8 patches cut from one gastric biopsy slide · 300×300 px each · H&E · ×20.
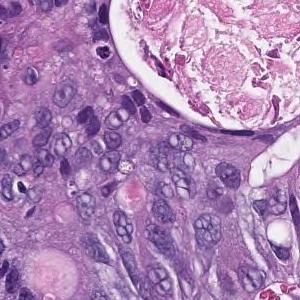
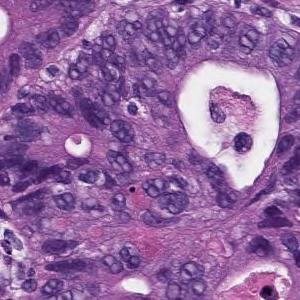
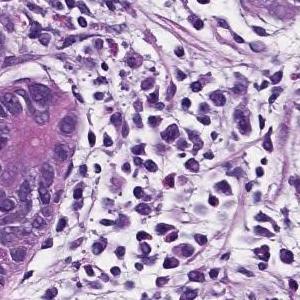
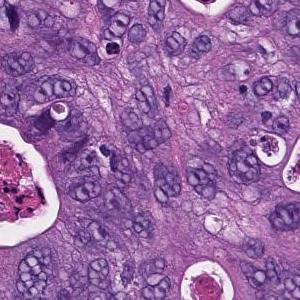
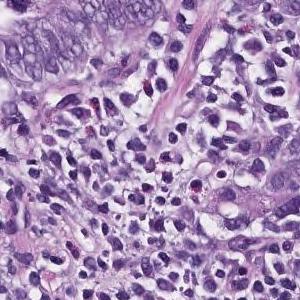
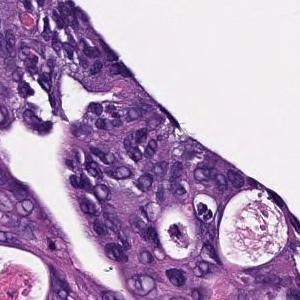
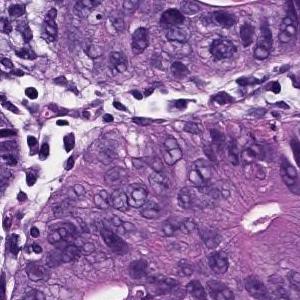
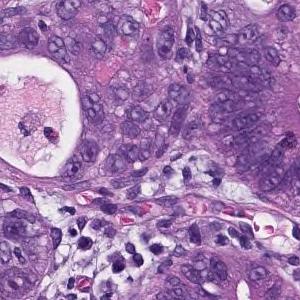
Report on the slide these tiles come from. The report and the diagnosis cover the entire slide, so not every feature they name need be visible here, and some tissue shown may not be tumor.
In the superficial epithelium, tumor tissue that invades by forming medium-sized to small, irregular ducts is observed. moderately differentiated tubular adenocarcinoma.
